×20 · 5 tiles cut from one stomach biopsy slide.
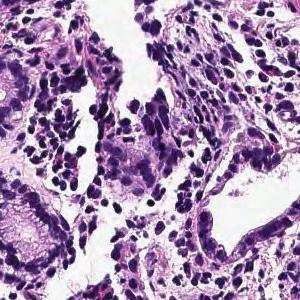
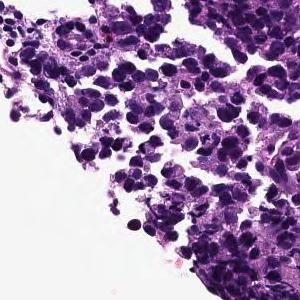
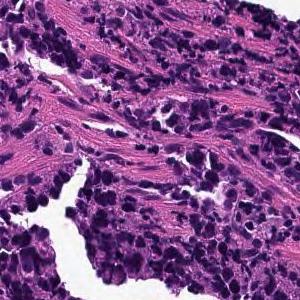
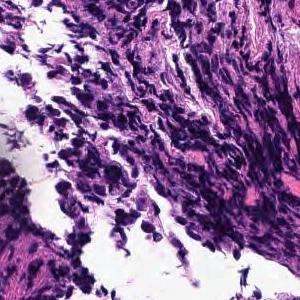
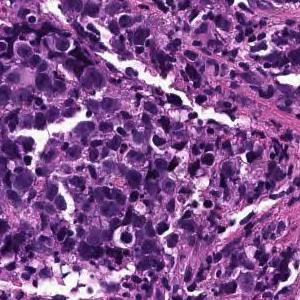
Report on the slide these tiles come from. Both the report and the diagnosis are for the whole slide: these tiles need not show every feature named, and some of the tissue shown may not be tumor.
The superficial epithelium shows large alveolar or sheet-like forms, and some tumor tissue infiltrates with small irregular ducts. Poorly differentiated adenocarcinoma, solid-type
Classified as poorly differentiated adenocarcinoma, solid type. This name comes from the Japanese Classification of Gastric Carcinoma; the WHO 2019 classification calls it tubular adenocarcinoma, poorly differentiated.
